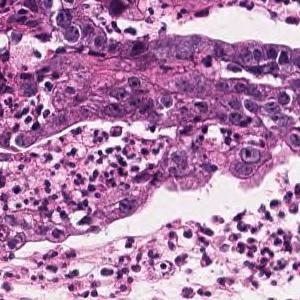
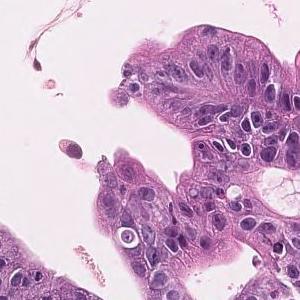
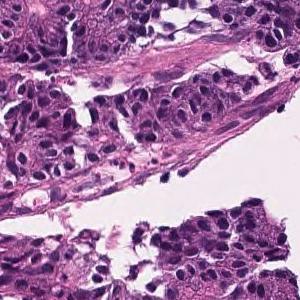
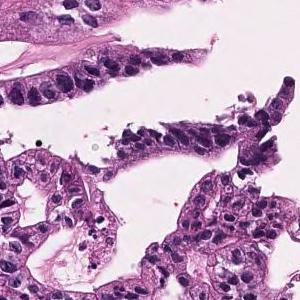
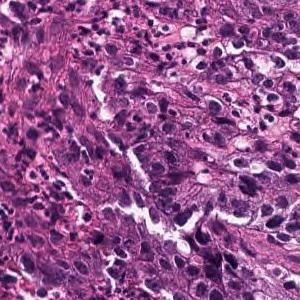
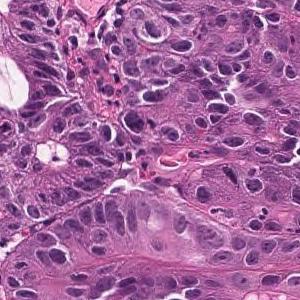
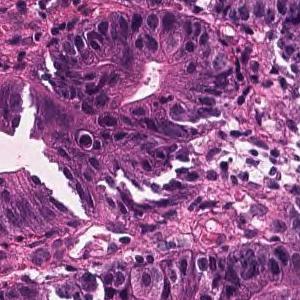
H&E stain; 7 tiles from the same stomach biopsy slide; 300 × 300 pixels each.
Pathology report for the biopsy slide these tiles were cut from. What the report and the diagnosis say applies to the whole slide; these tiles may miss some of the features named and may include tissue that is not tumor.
In the superficial epithelium, tumor tissue that invades by forming medium-sized to small, irregular ducts is observed. Well differentiated tubular adenocarcinoma.
